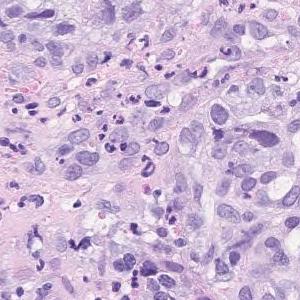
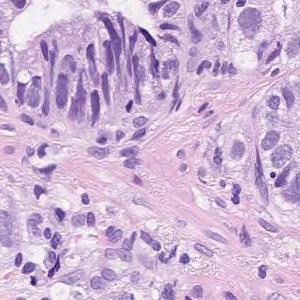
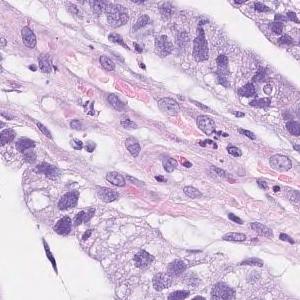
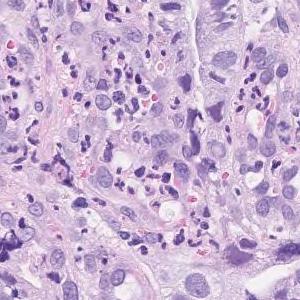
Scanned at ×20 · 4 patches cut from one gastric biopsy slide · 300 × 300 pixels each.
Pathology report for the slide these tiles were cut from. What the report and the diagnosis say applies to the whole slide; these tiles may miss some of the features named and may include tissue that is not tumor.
Atypical l cells with atypical nuclei forming solid or diffuse vesicles or small irregular atypical ducts and growing in a complex manner. moderately differentiated tubular adenocarcinoma
